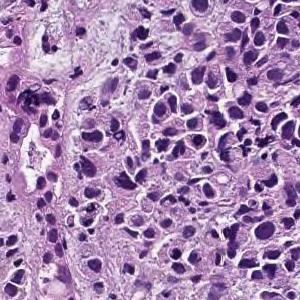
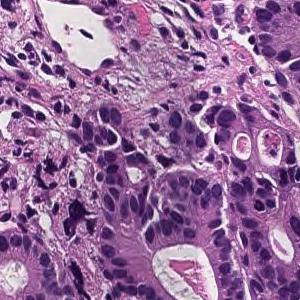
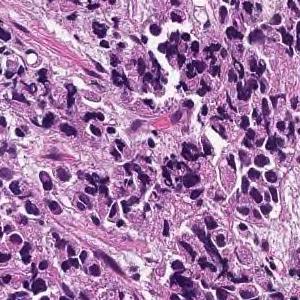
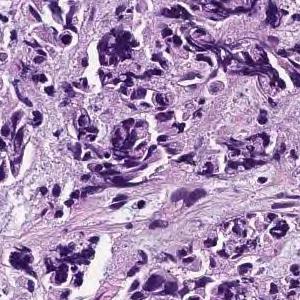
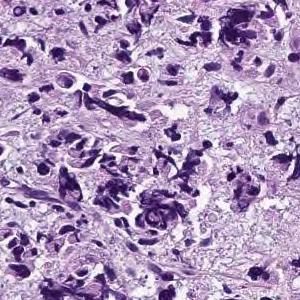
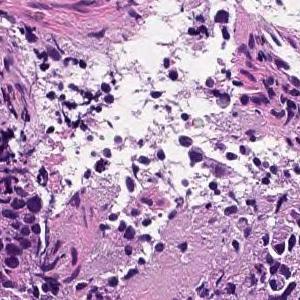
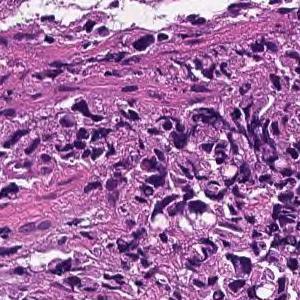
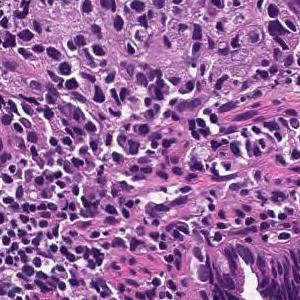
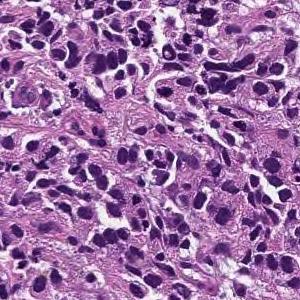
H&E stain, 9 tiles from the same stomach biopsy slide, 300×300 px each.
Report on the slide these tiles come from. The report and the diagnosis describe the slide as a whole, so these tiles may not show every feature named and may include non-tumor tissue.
The lamina propria shows small cord-like tumor tissue that infiltrates with fibrosis and marked chronic inflammatory cell infiltration. Poorly differentiated adenocarcinoma, non-solid type
The term "non-solid type" comes from the Japanese Classification of Gastric Carcinoma.
